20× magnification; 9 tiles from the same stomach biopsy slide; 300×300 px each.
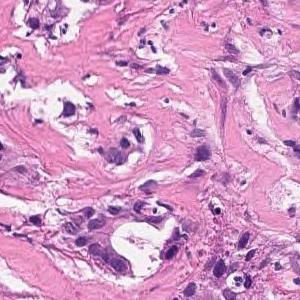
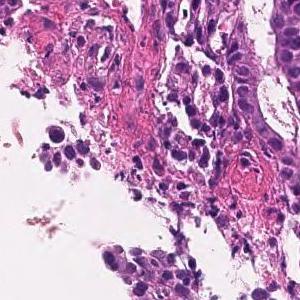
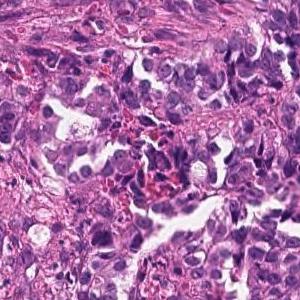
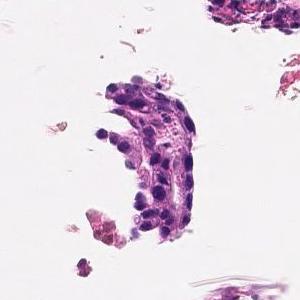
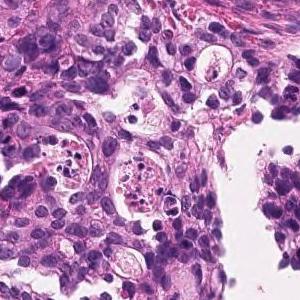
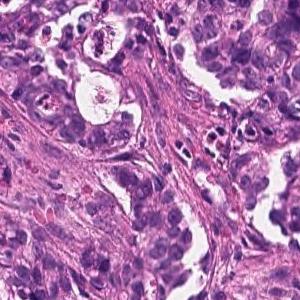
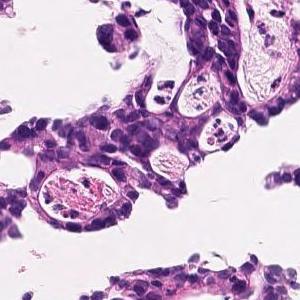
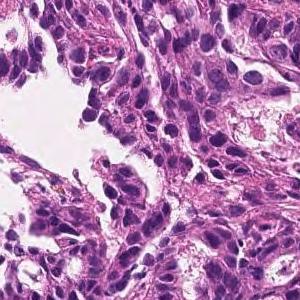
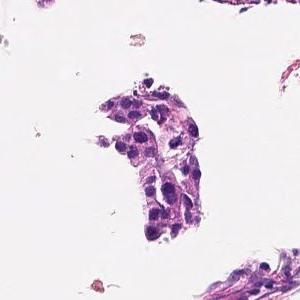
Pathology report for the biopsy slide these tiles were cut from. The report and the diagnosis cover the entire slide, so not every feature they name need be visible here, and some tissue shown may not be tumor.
On the superficial epithelium, tumor tissue consisting of images of small to medium-sized and irregular tubules infiltrating with irregular fusion is observed. moderately differentiated tubular adenocarcinoma
